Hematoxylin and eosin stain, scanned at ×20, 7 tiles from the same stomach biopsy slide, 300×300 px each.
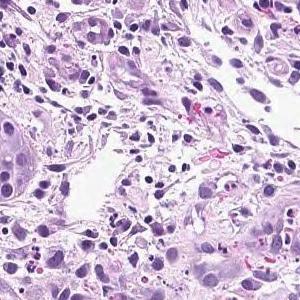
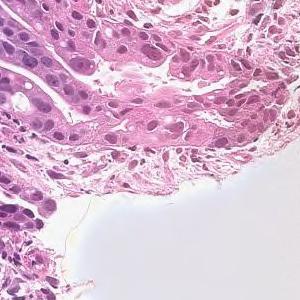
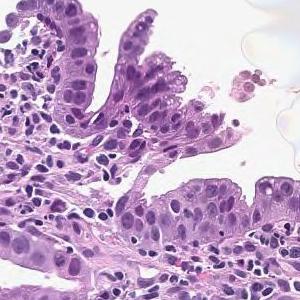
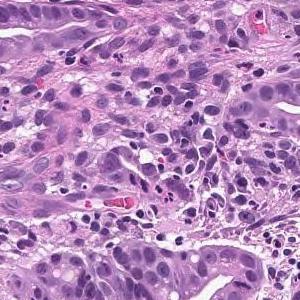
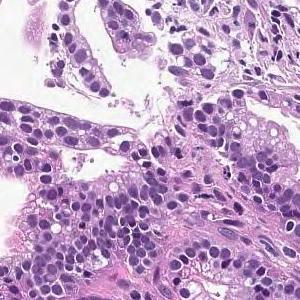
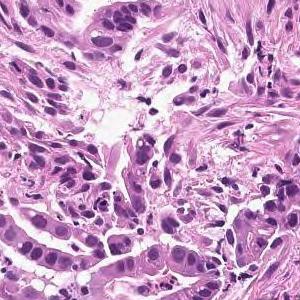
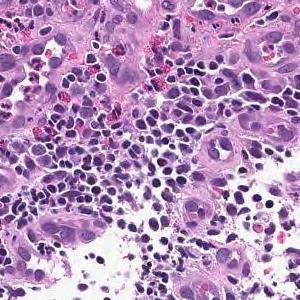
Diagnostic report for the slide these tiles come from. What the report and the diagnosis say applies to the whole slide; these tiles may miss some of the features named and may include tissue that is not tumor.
On the superficial epithelium, tumor tissue that infiltrates by forming medium-sized papillary or small irregular ducts is observed. Papillary adenocarcinoma
